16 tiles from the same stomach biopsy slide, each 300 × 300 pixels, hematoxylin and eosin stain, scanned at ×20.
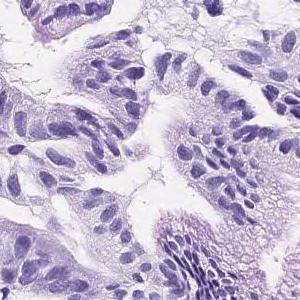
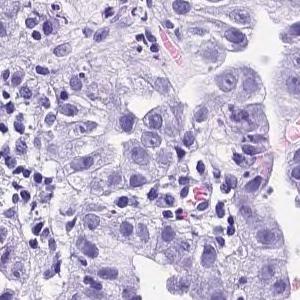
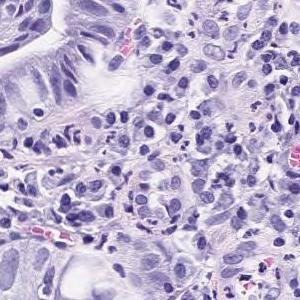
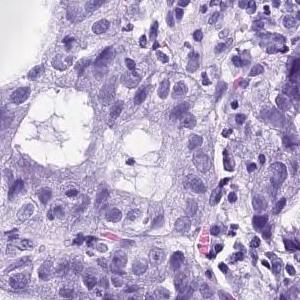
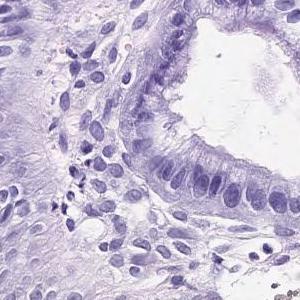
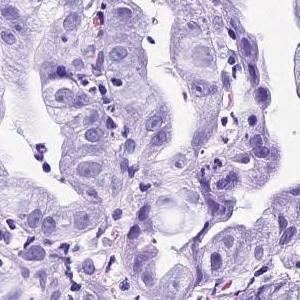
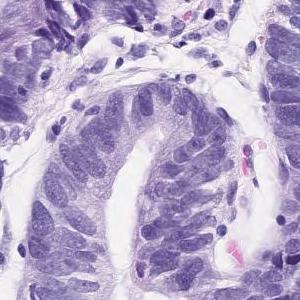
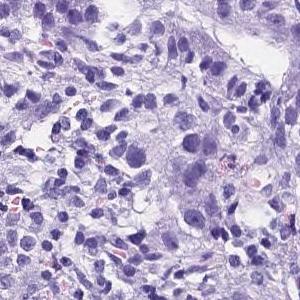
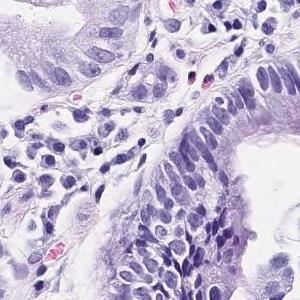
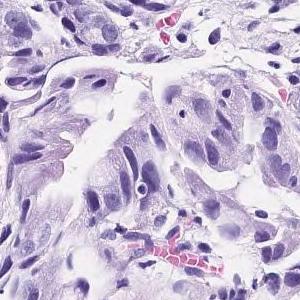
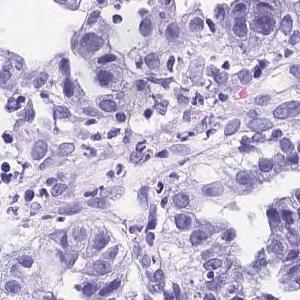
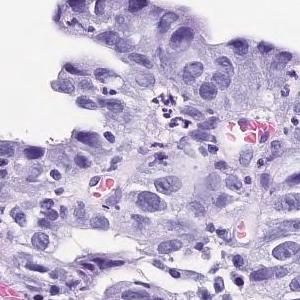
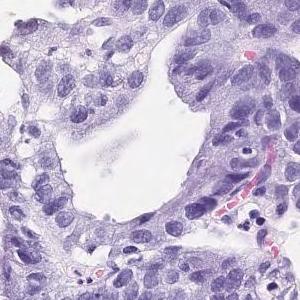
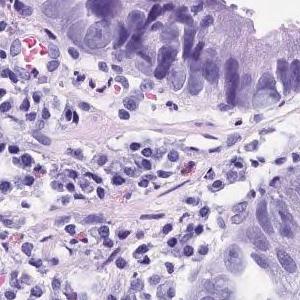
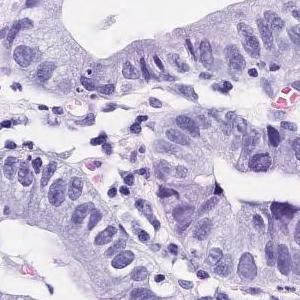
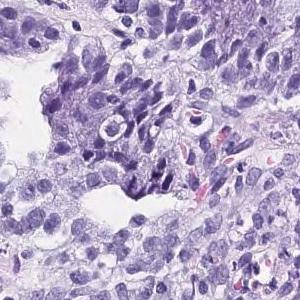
Pathology report for the biopsy slide these tiles were cut from. The report and the diagnosis cover the entire slide, so not every feature they name need be visible here, and some tissue shown may not be tumor.
Tumor tissue consisting of medium-sized and irregular ducts is observed infiltrating in the superficial epithelium. Tumor cells are highly columnar, with nuclei aligned basolaterally and polarized. Well differentiated tubular adenocarcinoma.
